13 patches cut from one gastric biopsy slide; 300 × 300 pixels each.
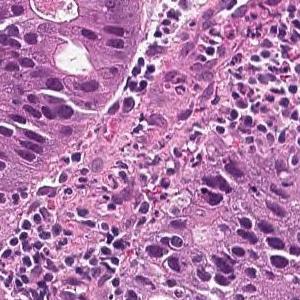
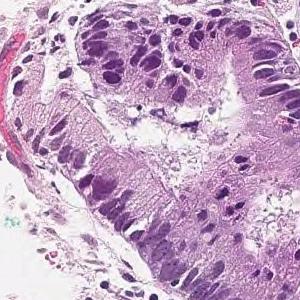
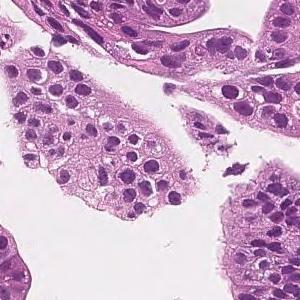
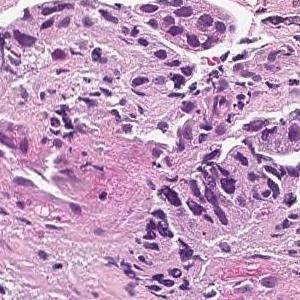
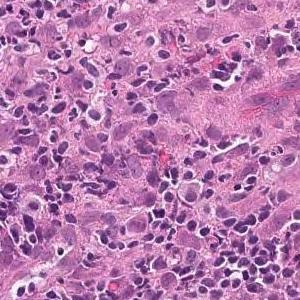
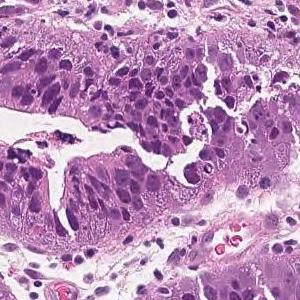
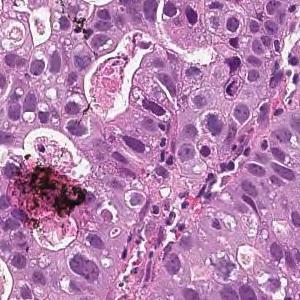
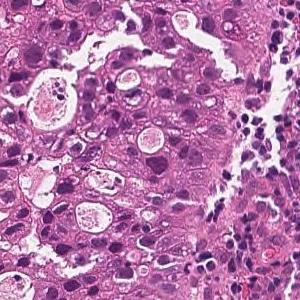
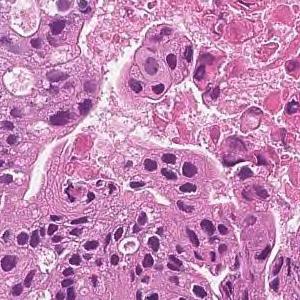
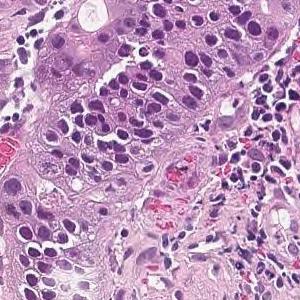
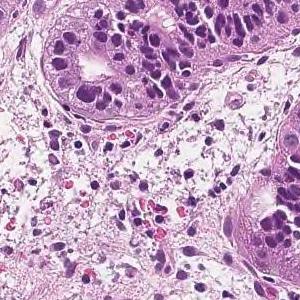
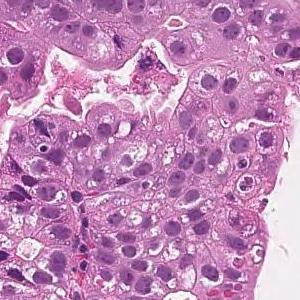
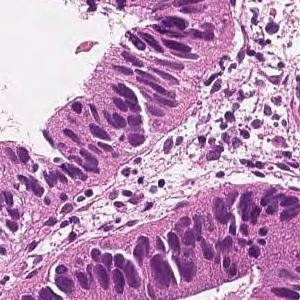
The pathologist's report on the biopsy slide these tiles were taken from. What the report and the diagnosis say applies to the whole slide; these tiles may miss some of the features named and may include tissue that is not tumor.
In the superficial epithelium, tumor tissue that invades by forming medium-sized to small, irregular ducts is observed. moderately differentiated tubular adenocarcinoma.
